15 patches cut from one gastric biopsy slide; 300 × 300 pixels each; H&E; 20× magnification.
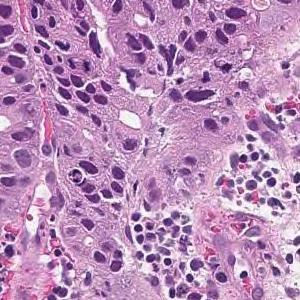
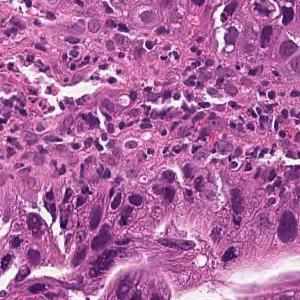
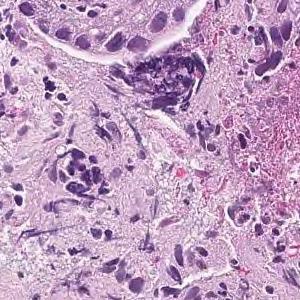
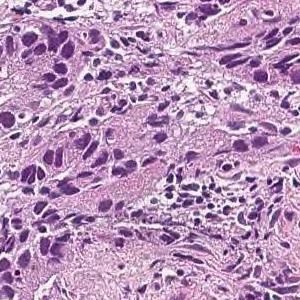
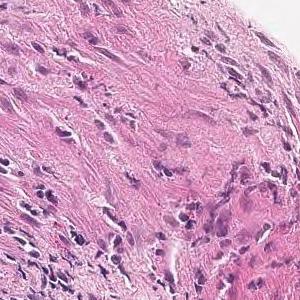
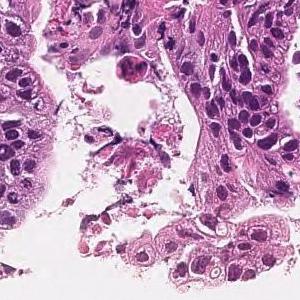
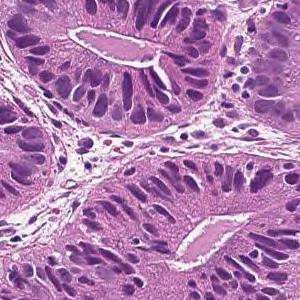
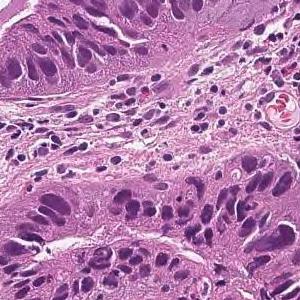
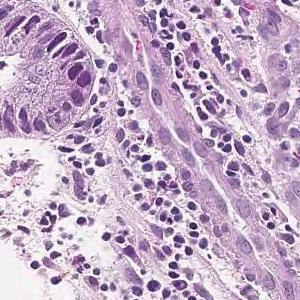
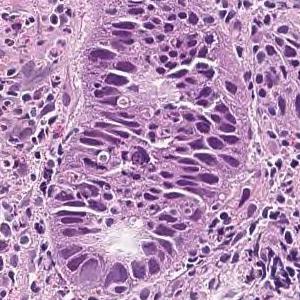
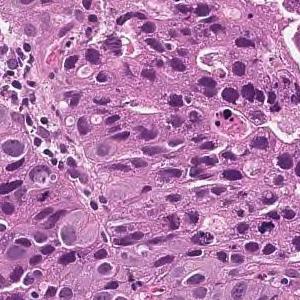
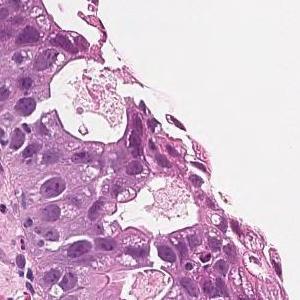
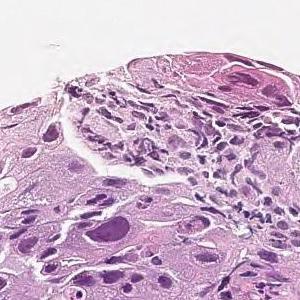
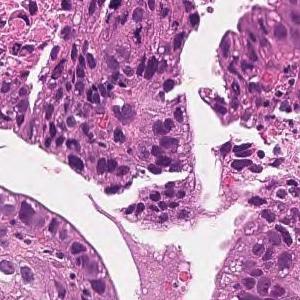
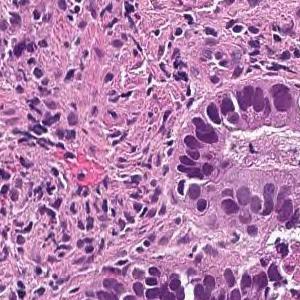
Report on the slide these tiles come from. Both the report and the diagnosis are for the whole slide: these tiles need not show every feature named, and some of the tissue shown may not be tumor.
In the superficial epithelium, tumor tissue that invades by forming medium-sized to small, irregular ducts is observed. moderately differentiated tubular adenocarcinoma.
